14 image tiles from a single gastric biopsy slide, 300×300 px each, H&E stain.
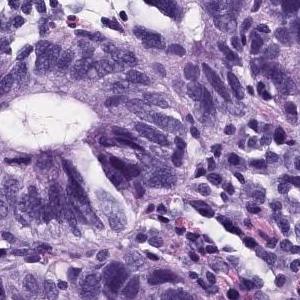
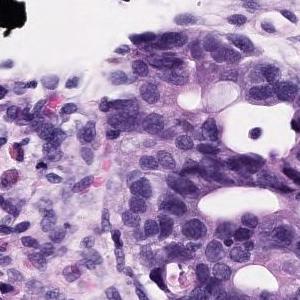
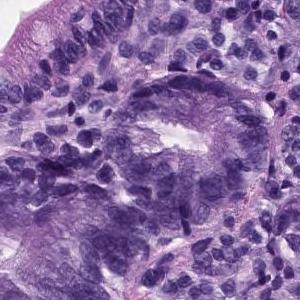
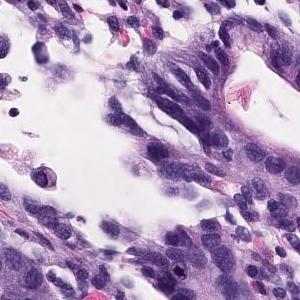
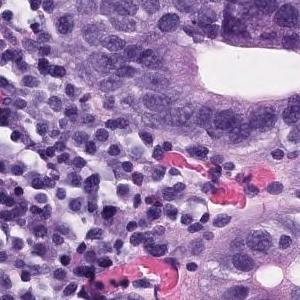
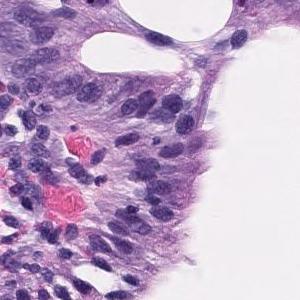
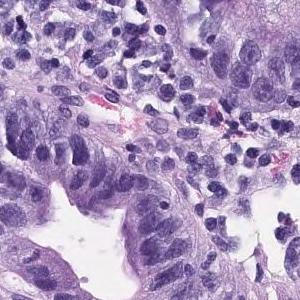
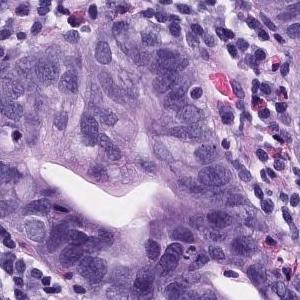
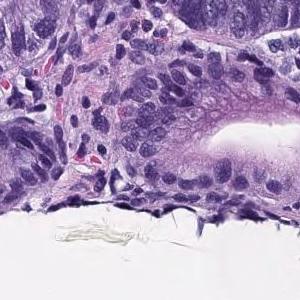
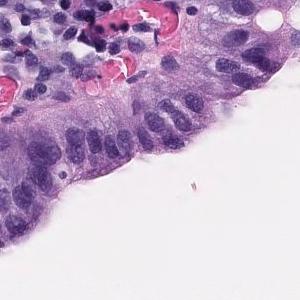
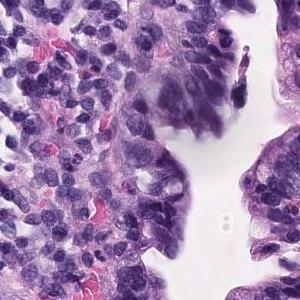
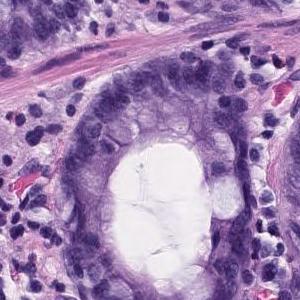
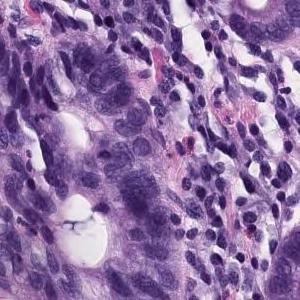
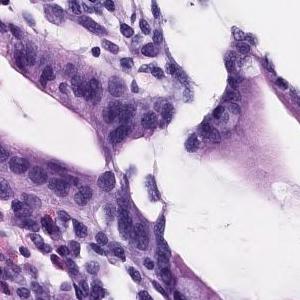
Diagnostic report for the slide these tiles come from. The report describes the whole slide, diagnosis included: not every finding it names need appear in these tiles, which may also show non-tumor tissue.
In the superficial epithelium, tumor tissue that invades by forming medium-sized to small, irregular ducts is observed. Moderately differentiated adenocarcinoma.
Classified as moderately differentiated tubular adenocarcinoma.
